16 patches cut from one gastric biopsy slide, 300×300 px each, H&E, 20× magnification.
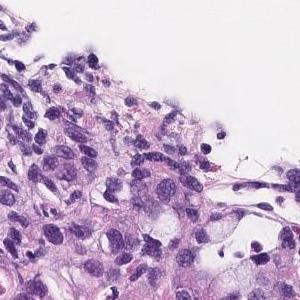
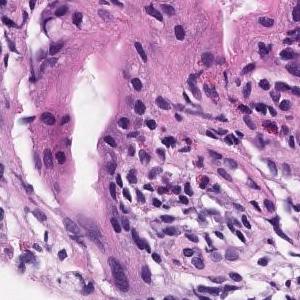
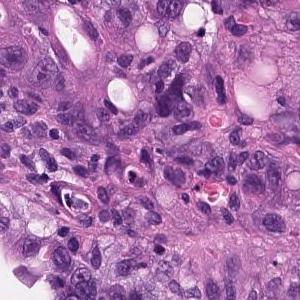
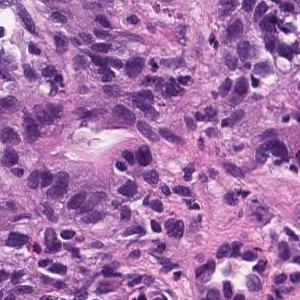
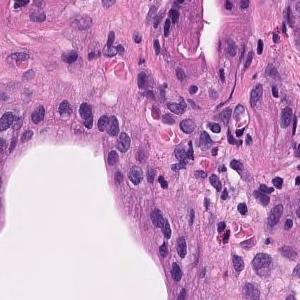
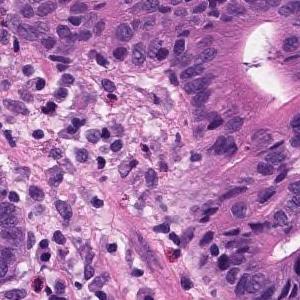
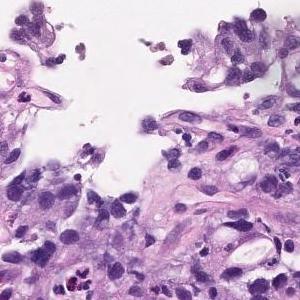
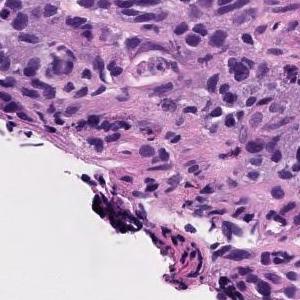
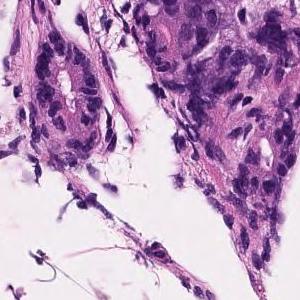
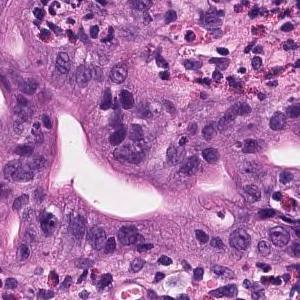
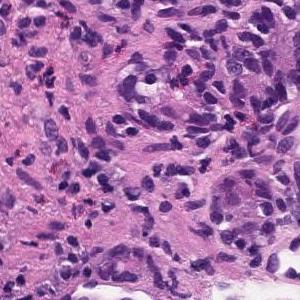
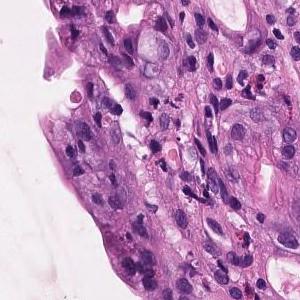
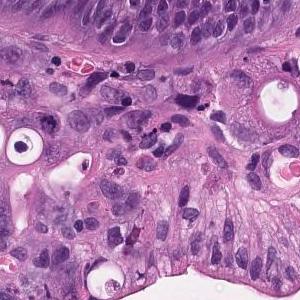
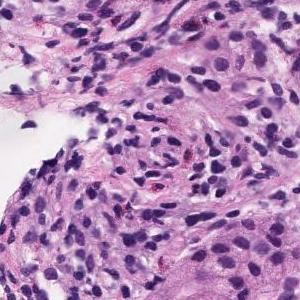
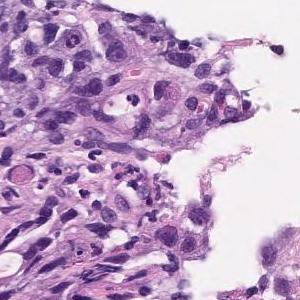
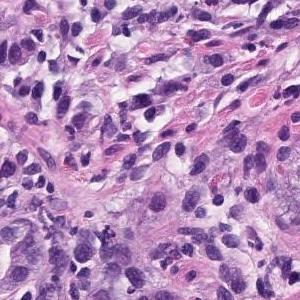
Report on the slide these tiles come from. What the report and the diagnosis say applies to the whole slide; these tiles may miss some of the features named and may include tissue that is not tumor.
moderately differentiated tubular adenocarcinoma, Poorly differentiated adenocarcinoma
Dataset label: poorly differentiated adenocarcinoma, solid type, a category of the Japanese Classification of Gastric Carcinoma; in the WHO 2019 classification it is tubular adenocarcinoma, poorly differentiated.
